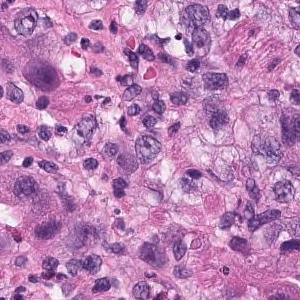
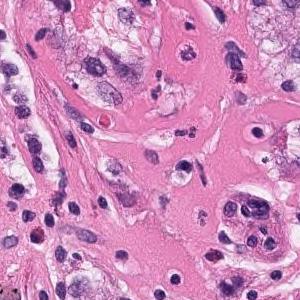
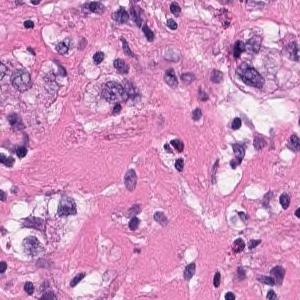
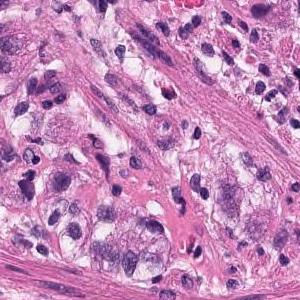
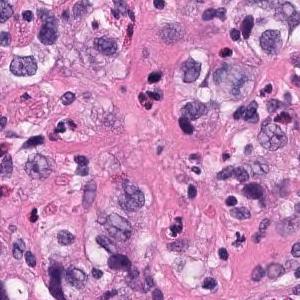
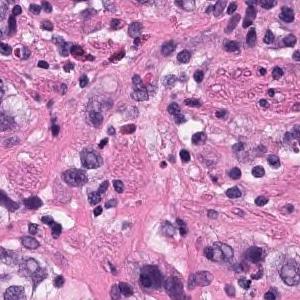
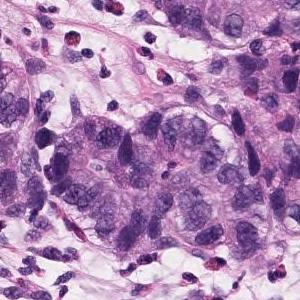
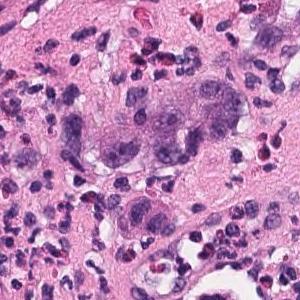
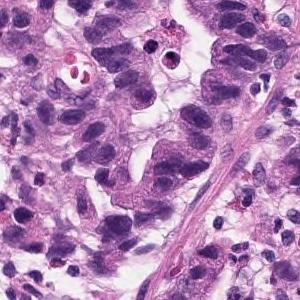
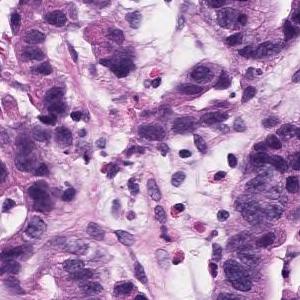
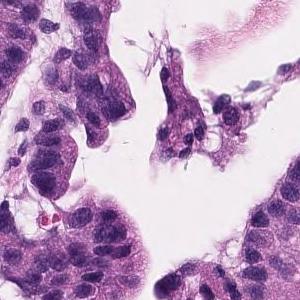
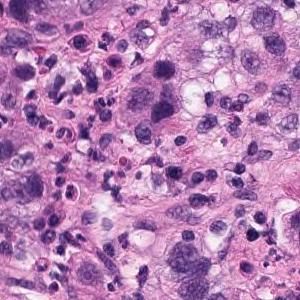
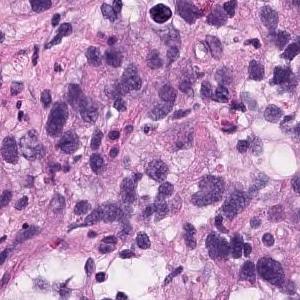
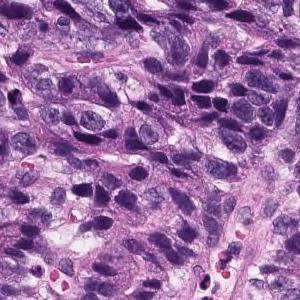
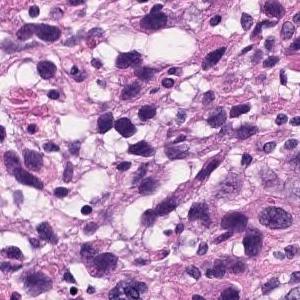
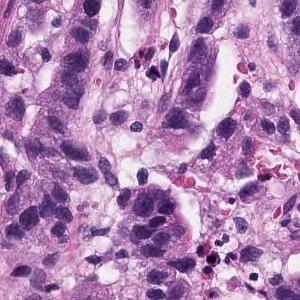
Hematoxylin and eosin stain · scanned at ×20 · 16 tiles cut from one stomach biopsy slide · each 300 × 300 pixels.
Diagnostic report for the slide these tiles come from. The findings and the diagnosis refer to the entire slide; these tiles show only part of it, possibly with non-tumor tissue, and may not show every feature named.
Atypical l cells with atypical nuclei forming diffuse or small irregular atypical ducts and growing. Moderately to poorly differentiated adenocarcinoma (poorly differentiated adenocarcinoma, solid type, moderately differentiated tubular adenocarcinoma)
Histologic type: Moderately to poorly differentiated adenocarcinoma.
The solid type named here is a Japanese Classification of Gastric Carcinoma category; WHO 2019 calls it tubular adenocarcinoma, poorly differentiated.
